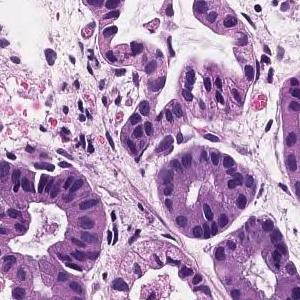
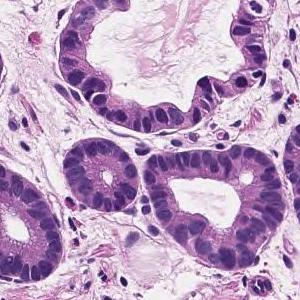
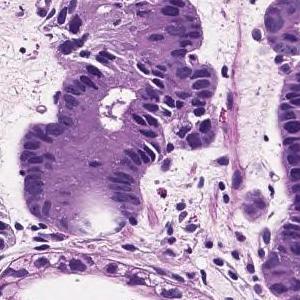
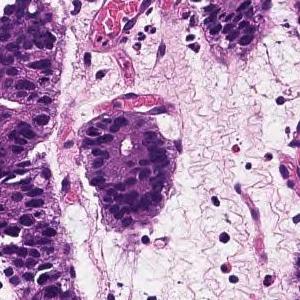
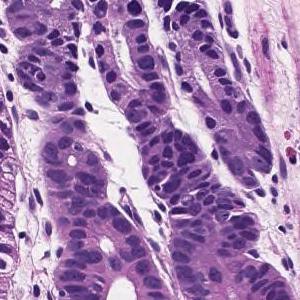
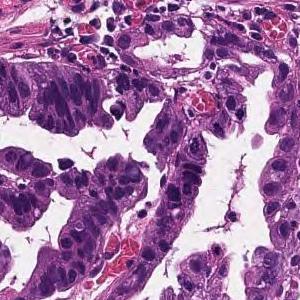
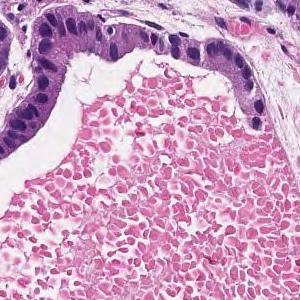
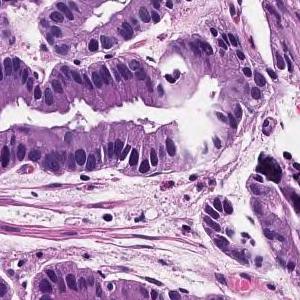
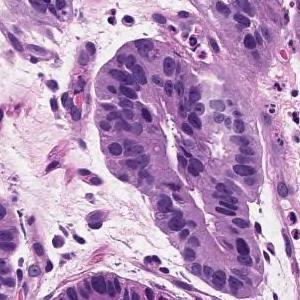
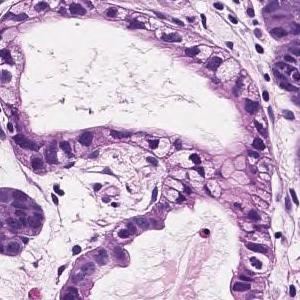
10 patches cut from one gastric biopsy slide; 300 × 300 pixels each; hematoxylin and eosin stain; scanned at ×20.
Pathology report for the biopsy slide these tiles were cut from. The report and the diagnosis cover the entire slide, so not every feature they name need be visible here, and some tissue shown may not be tumor.
Tumor cells are large, highly columnar, large club-shaped nuclei, and are associated with chromatin aggregation. Papillary adenocarcinoma.
